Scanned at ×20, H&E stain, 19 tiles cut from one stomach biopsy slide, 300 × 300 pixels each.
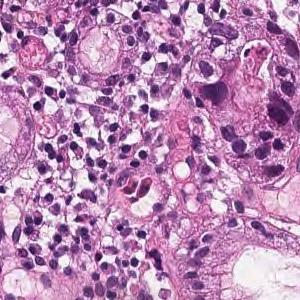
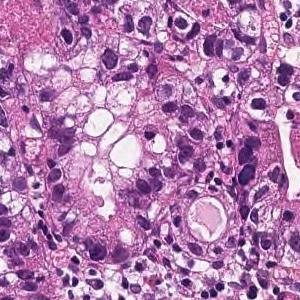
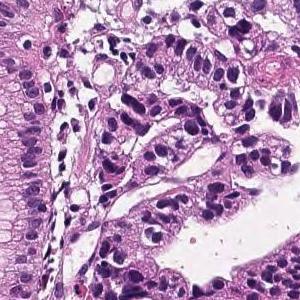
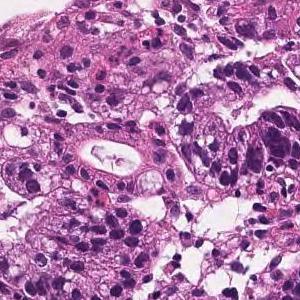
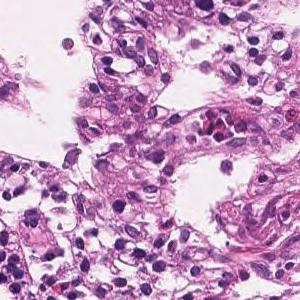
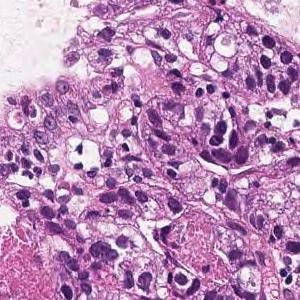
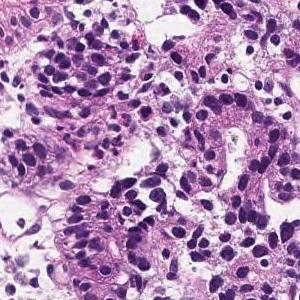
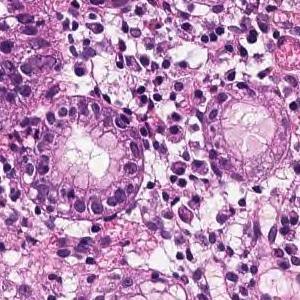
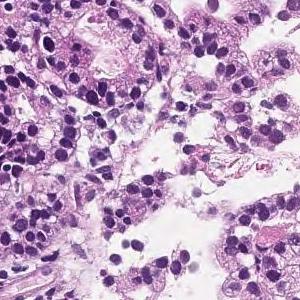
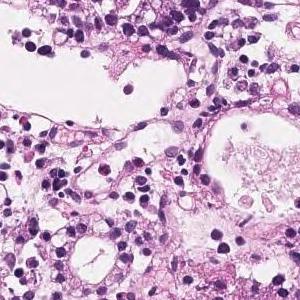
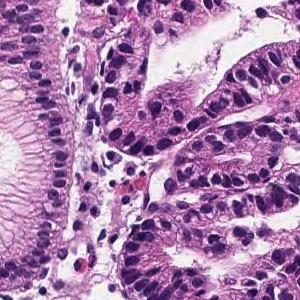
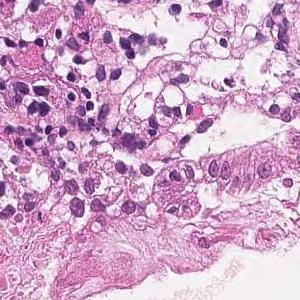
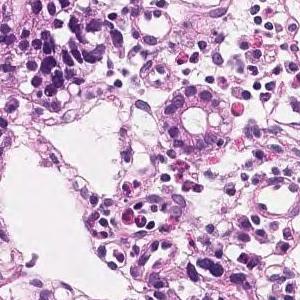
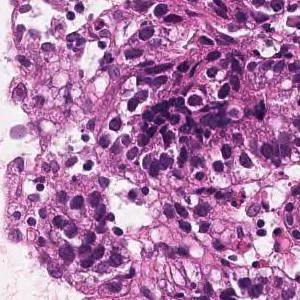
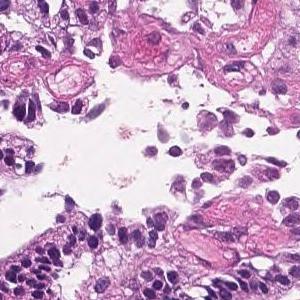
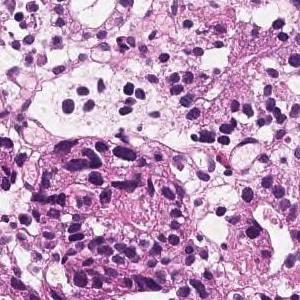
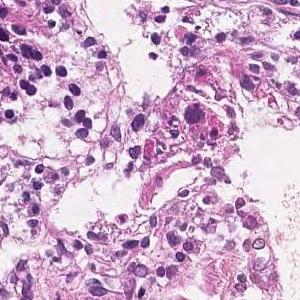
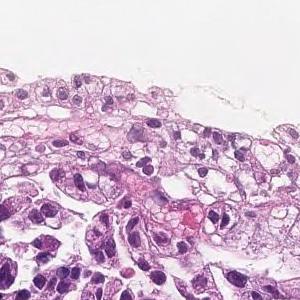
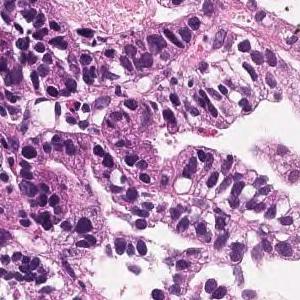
Report on the slide these tiles come from. What the report and the diagnosis say applies to the whole slide; these tiles may miss some of the features named and may include tissue that is not tumor.
In the superficial epithelium, tumor tissue that invades by forming medium-sized to small, irregular ducts is observed. moderately differentiated tubular adenocarcinoma.
